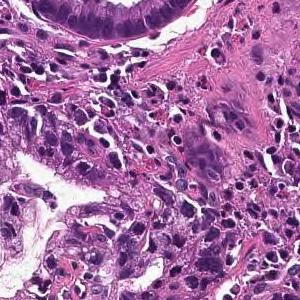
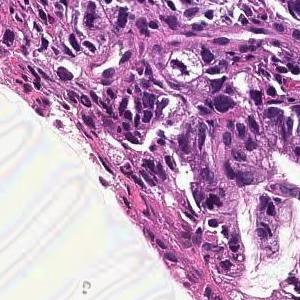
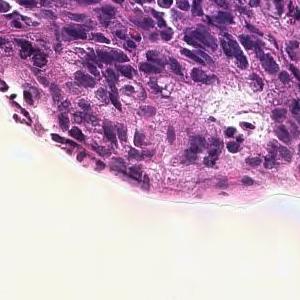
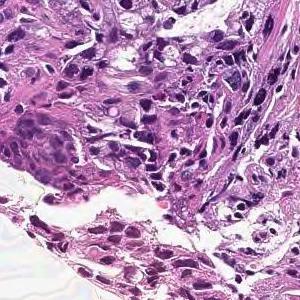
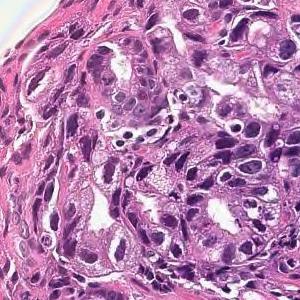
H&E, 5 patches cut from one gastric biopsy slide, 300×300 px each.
The pathologist's report on the biopsy slide these tiles were taken from. The report and the diagnosis cover the entire slide, so not every feature they name need be visible here, and some tissue shown may not be tumor.
In the superficial epithelium, tumor tissue that invades by forming medium-sized to small, irregular ducts is observed. moderately differentiated tubular adenocarcinoma.
